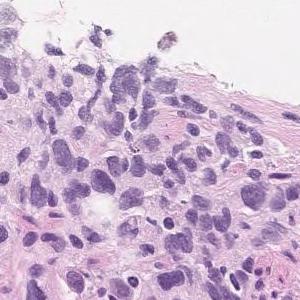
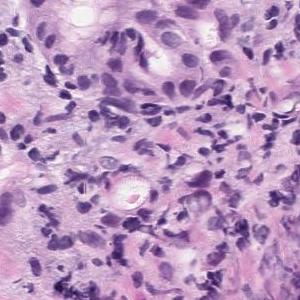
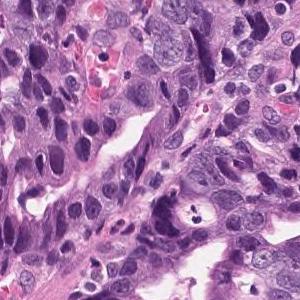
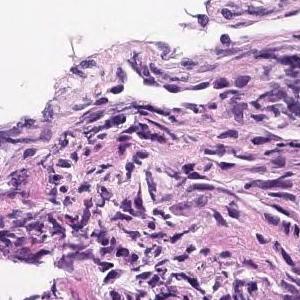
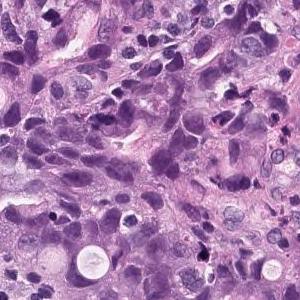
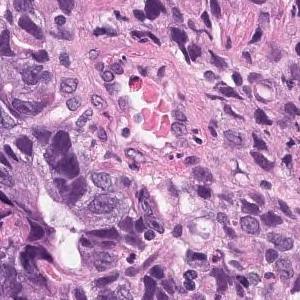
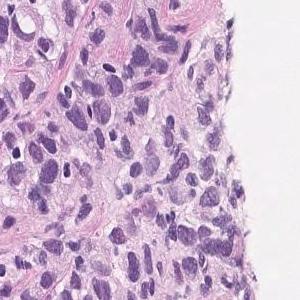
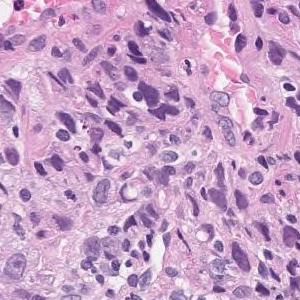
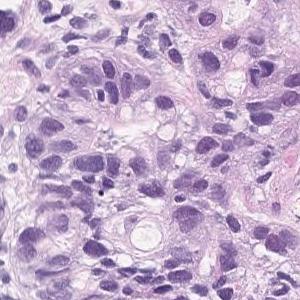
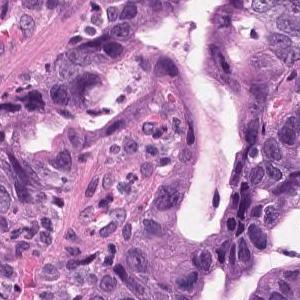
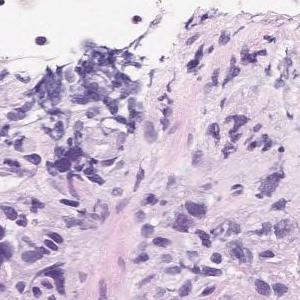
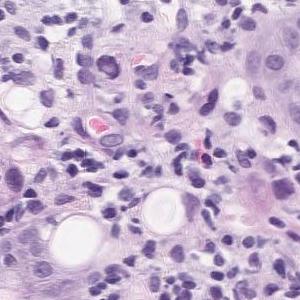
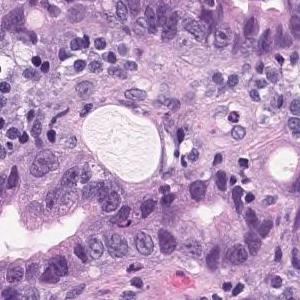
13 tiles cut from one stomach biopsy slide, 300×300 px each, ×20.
Pathology report for the biopsy slide these tiles were cut from. The report describes the whole slide, diagnosis included: not every finding it names need appear in these tiles, which may also show non-tumor tissue.
Tumor tissue consisting of medium-sized, cord-like or irregular glandular infiltration is observed in the superficial epithelium. Poorly differentiated adenocarcinoma, non-solid type or moderately differentiated tubular adenocarcinoma
Dataset label: poorly differentiated adenocarcinoma, non-solid type.
The non-solid type named here is a Japanese Classification of Gastric Carcinoma category.
